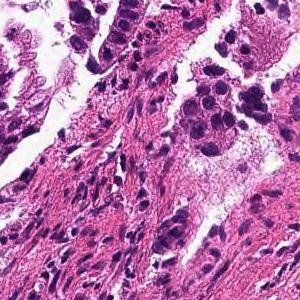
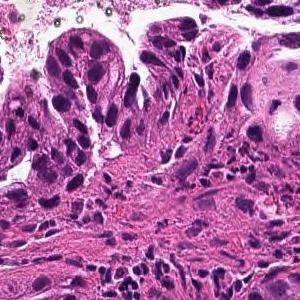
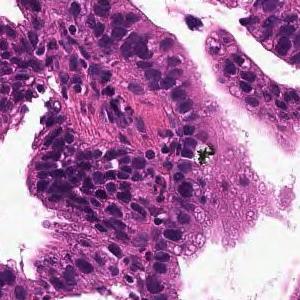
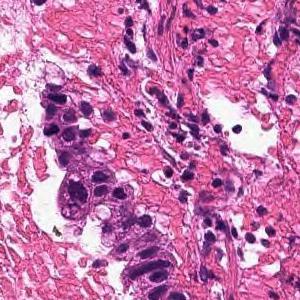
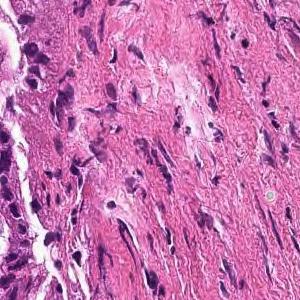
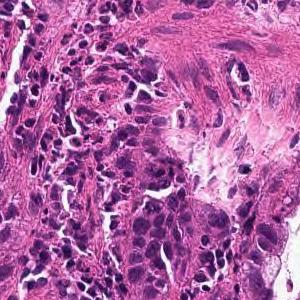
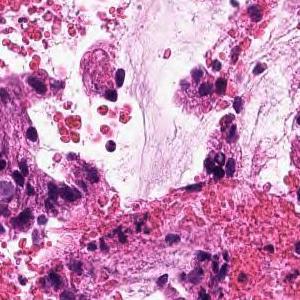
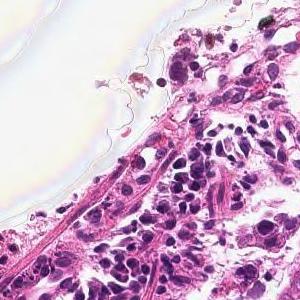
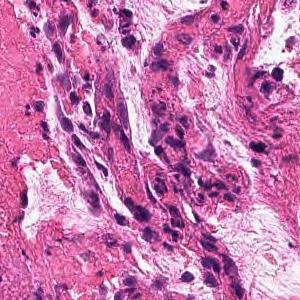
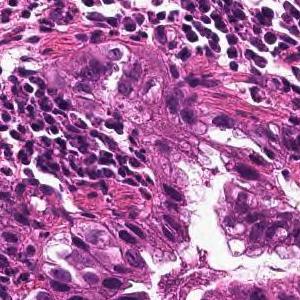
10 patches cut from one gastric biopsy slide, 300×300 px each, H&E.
The pathologist's report on the biopsy slide these tiles were taken from. Both the report and the diagnosis are for the whole slide: these tiles need not show every feature named, and some of the tissue shown may not be tumor.
From the superficial epithelium to the muscularis mucosae, tumor tissue infiltrating by forming medium-sized irregular gland ducts is observed. Well differentiated tubular adenocarcinoma
